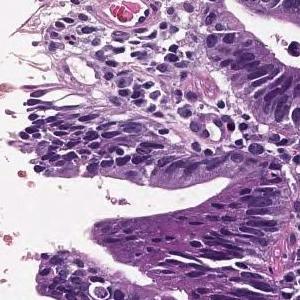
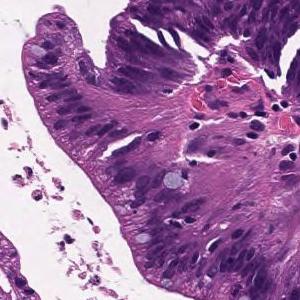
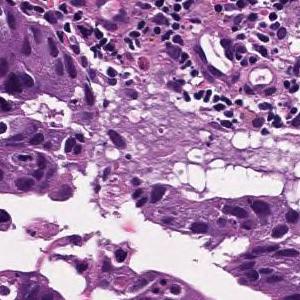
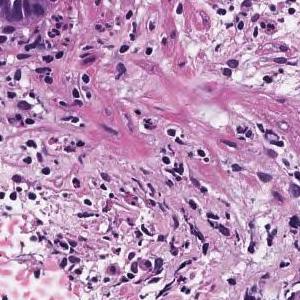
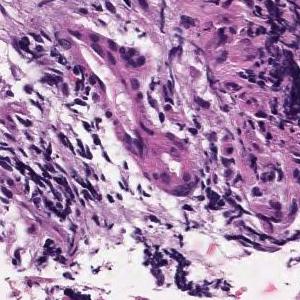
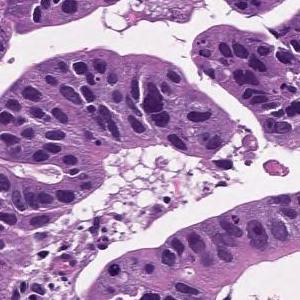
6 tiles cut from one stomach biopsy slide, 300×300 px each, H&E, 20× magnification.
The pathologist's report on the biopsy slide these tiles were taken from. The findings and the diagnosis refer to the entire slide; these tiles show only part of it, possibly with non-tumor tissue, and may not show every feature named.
Tumor cells are large, highly columnar, large club-shaped nuclei, and are associated with chromatin aggregation. Papillary adenocarcinoma.
